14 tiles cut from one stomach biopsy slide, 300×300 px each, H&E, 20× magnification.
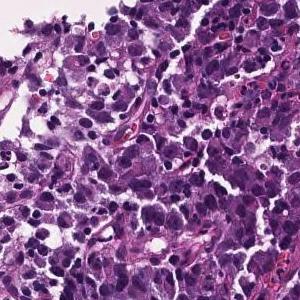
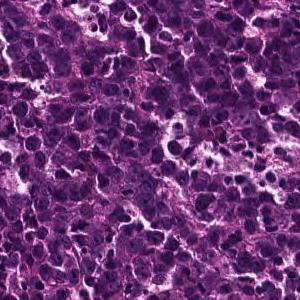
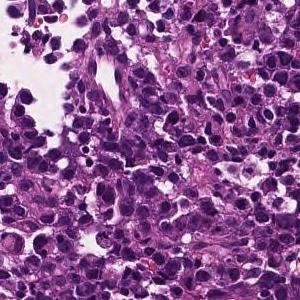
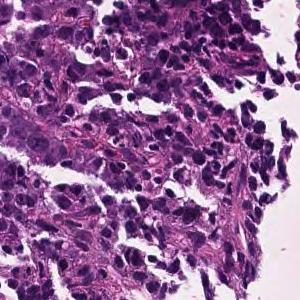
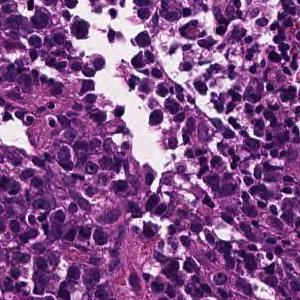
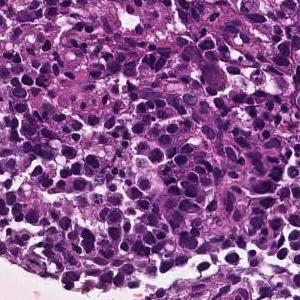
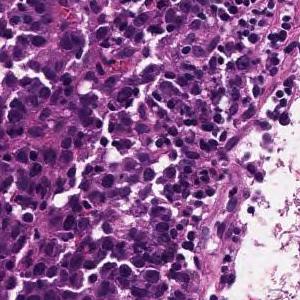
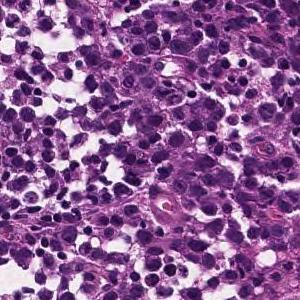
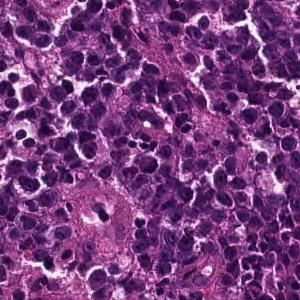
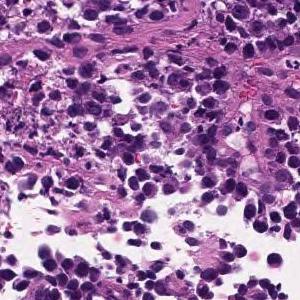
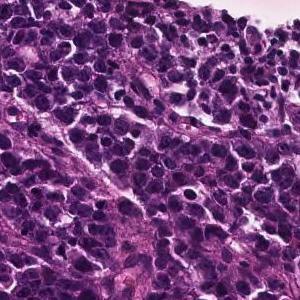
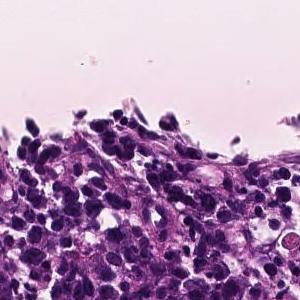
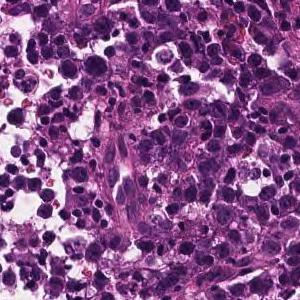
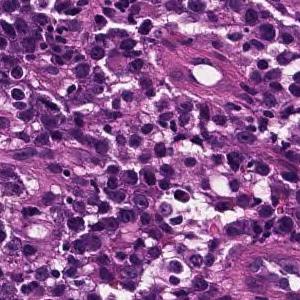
The pathologist's report on the biopsy slide these tiles were taken from. Both the report and the diagnosis are for the whole slide: these tiles need not show every feature named, and some of the tissue shown may not be tumor.
The superficial epithelium shows a large sheet-like shape, and some tumor tissue infiltrates with small irregular ducts. Poorly differentiated adenocarcinoma, solid-type
Tumor subtype: poorly differentiated adenocarcinoma, solid type, a category of the Japanese Classification of Gastric Carcinoma; in the WHO 2019 classification it is tubular adenocarcinoma, poorly differentiated.
